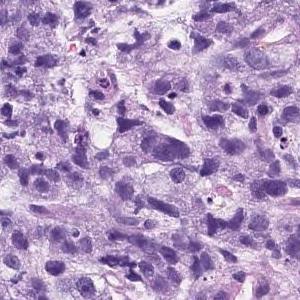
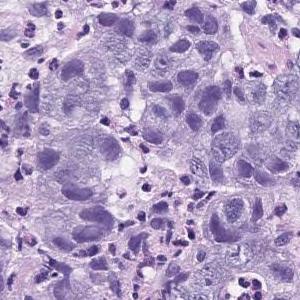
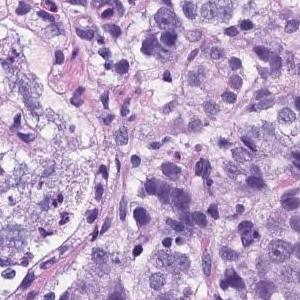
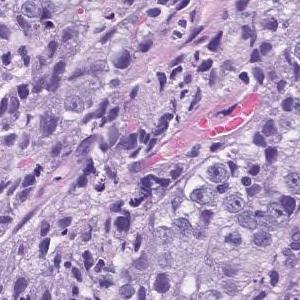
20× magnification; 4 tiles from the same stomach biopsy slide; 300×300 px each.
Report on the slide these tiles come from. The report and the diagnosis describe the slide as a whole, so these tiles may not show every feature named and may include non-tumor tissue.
Atypical l cells with atypical nuclei forming solid vesicles or small irregular atypical ducts that proliferate in a complex manner. poorly differentiated adenocarcinoma, solid type, moderately differentiated tubular adenocarcinoma
"Solid type" is a category of the Japanese Classification of Gastric Carcinoma; in the WHO 2019 classification it is tubular adenocarcinoma, poorly differentiated.
